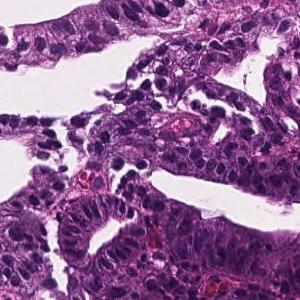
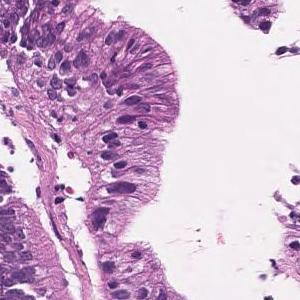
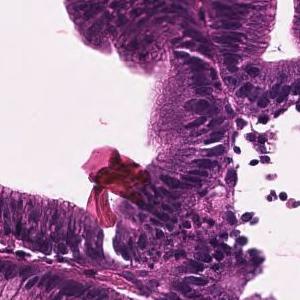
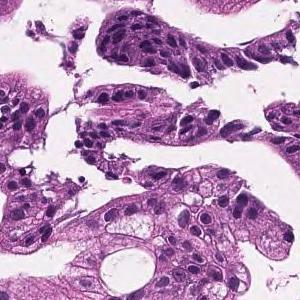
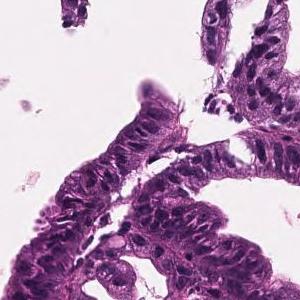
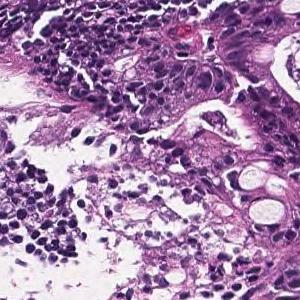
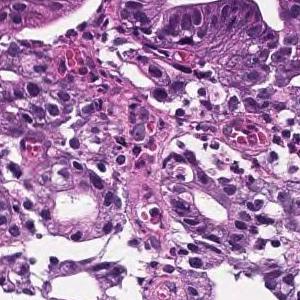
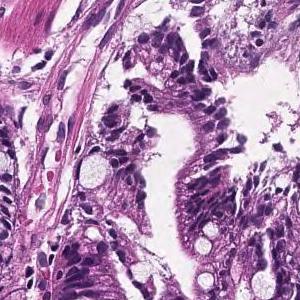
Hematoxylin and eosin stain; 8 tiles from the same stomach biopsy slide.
Report on the slide these tiles come from. What the report and the diagnosis say applies to the whole slide; these tiles may miss some of the features named and may include tissue that is not tumor.
In the superficial epithelium, tumor tissue that invades by forming medium-sized to small, irregular ducts is observed. Well differentiated tubular adenocarcinoma.
